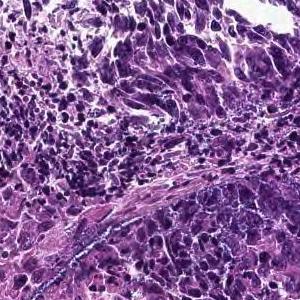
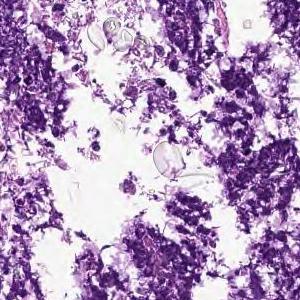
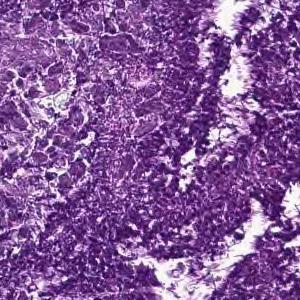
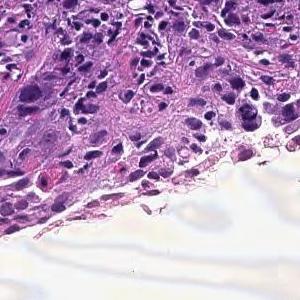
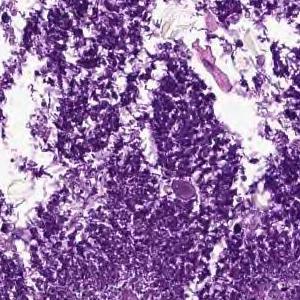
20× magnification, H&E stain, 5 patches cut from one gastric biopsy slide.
Pathology report for the slide these tiles were cut from. What the report and the diagnosis say applies to the whole slide; these tiles may miss some of the features named and may include tissue that is not tumor.
Cancers with polygonal nuclei do not show glandular formation and are densely, in part, cord-like and proliferate. Poorly differentiated adenocarcinoma
Tumor subtype: poorly differentiated adenocarcinoma, non-solid type.
The term "non-solid type" comes from the Japanese Classification of Gastric Carcinoma.
